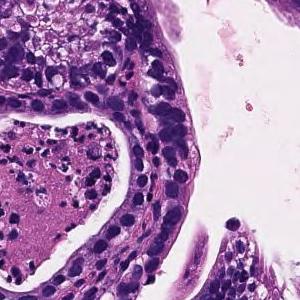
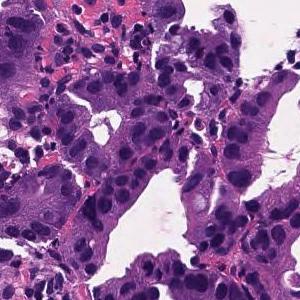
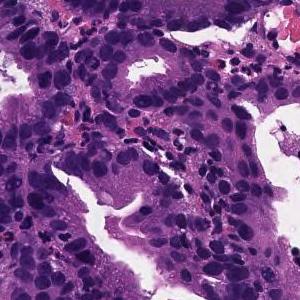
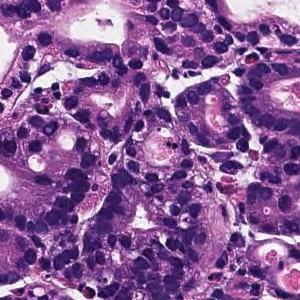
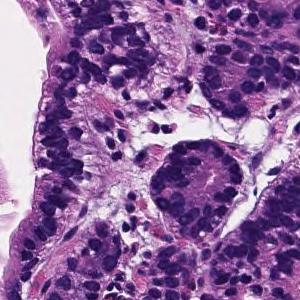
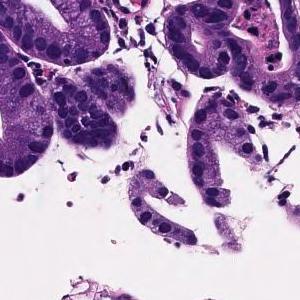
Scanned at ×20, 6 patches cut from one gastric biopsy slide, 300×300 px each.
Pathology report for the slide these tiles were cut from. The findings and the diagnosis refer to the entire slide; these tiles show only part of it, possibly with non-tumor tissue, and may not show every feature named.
From the superficial epithelium to the muscularis mucosae, tumor tissue consisting of medium-sized and irregular glandular ducts infiltrating is observed. Well differentiated tubular adenocarcinoma
